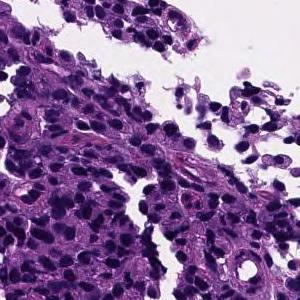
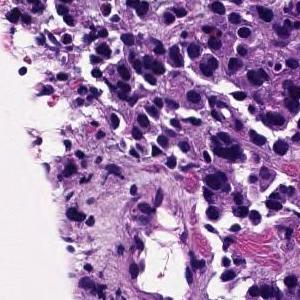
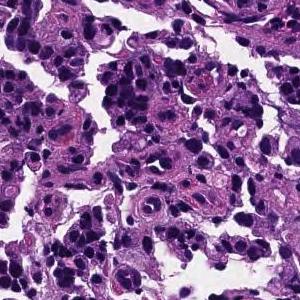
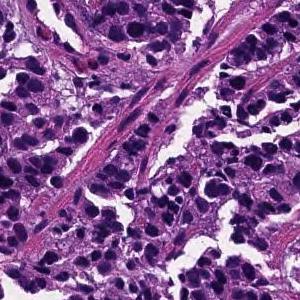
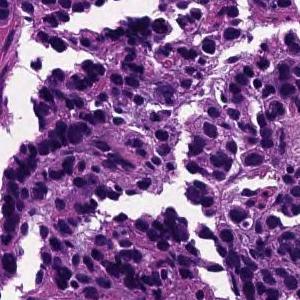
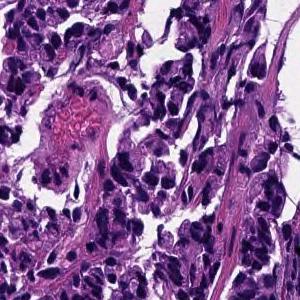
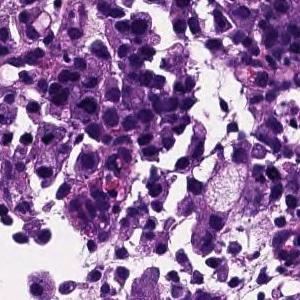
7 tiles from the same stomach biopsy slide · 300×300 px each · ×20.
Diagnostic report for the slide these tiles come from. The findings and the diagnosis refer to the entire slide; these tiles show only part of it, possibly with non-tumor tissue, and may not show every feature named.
The superficial epithelium shows a large alveolar shape and infiltrates tumor tissue. Poorly differentiated adenocarcinoma, solid-type
Histological subtype: Poorly differentiated adenocarcinoma, solid type, a category of the Japanese Classification of Gastric Carcinoma; in the WHO 2019 classification it is tubular adenocarcinoma, poorly differentiated.
